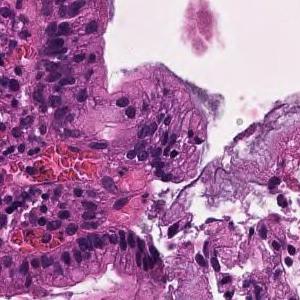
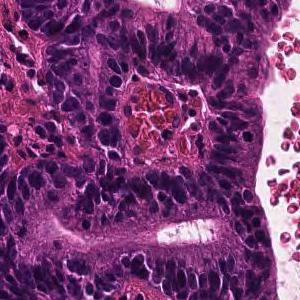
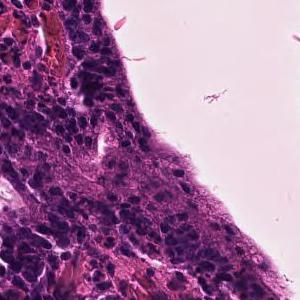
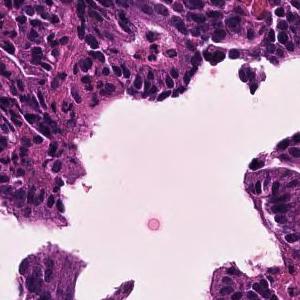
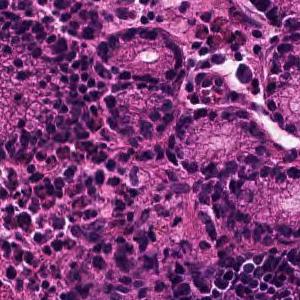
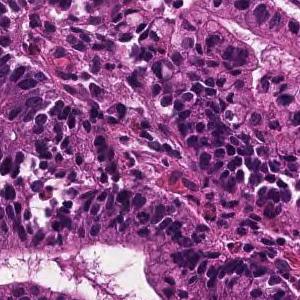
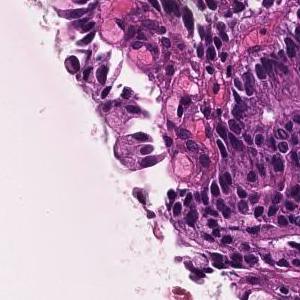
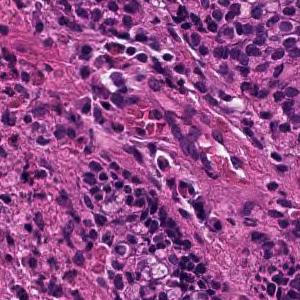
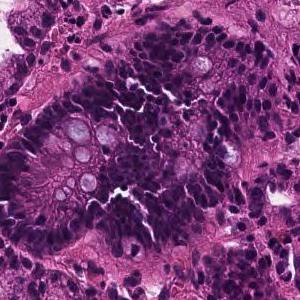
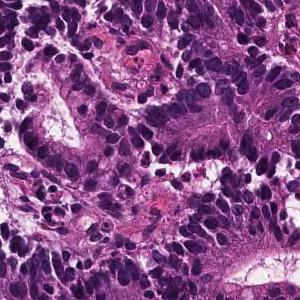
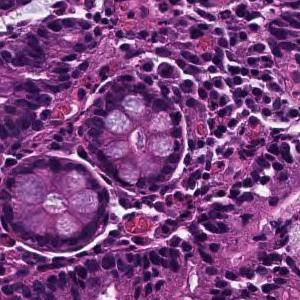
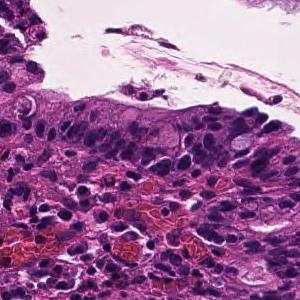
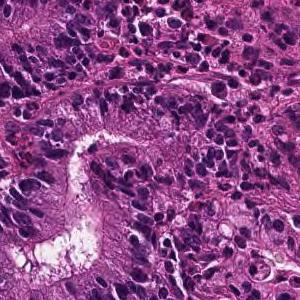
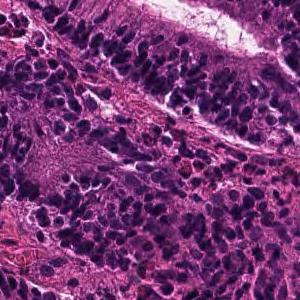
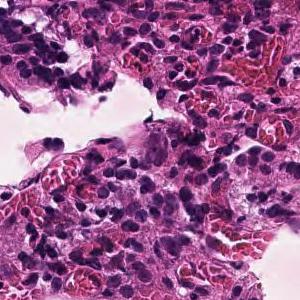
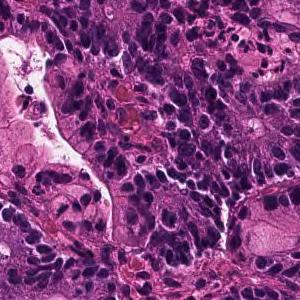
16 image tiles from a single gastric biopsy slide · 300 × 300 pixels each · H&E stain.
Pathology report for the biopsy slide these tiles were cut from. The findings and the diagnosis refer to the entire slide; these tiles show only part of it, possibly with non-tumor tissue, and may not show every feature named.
In the superficial epithelium, tumor tissue that invades by forming medium-sized to small, irregular ducts is observed. moderately differentiated tubular adenocarcinoma.
